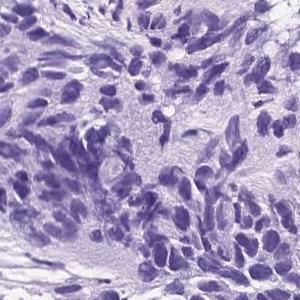
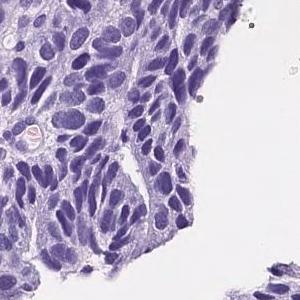
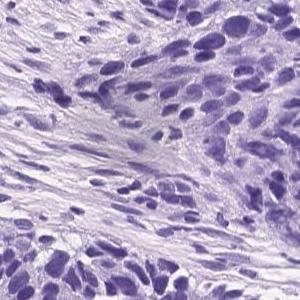
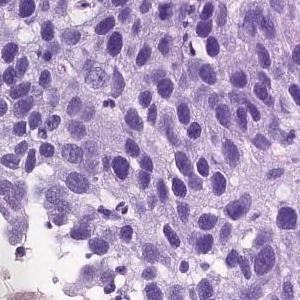
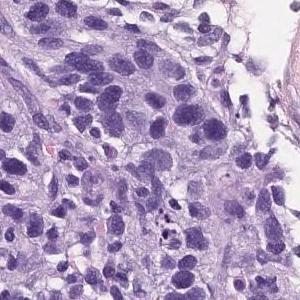
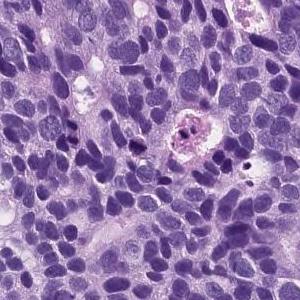
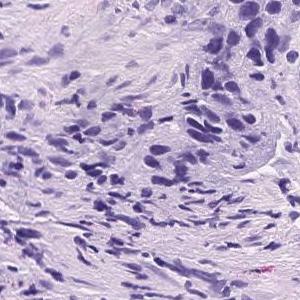
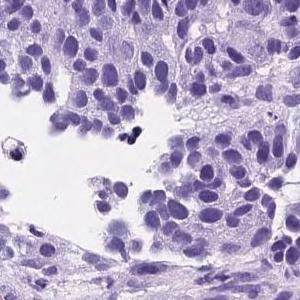
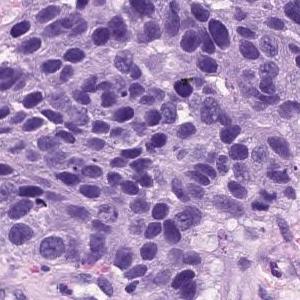
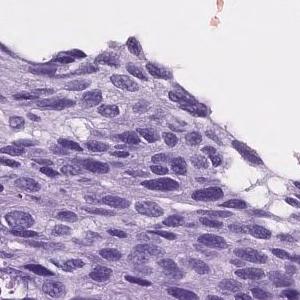
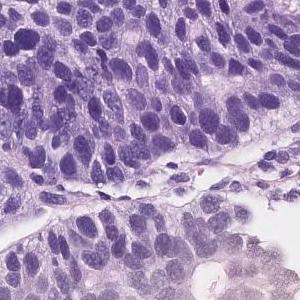
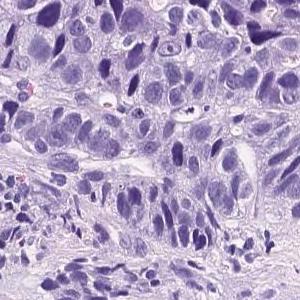
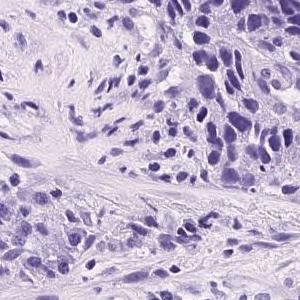
Hematoxylin and eosin stain · scanned at ×20 · 13 tiles cut from one stomach biopsy slide · 300×300 px each.
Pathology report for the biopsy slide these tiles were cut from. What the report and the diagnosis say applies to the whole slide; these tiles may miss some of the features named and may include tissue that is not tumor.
Atypical cells with atypical nuclei forming small irregular atypical ducts and growing in a conformative manner. moderately differentiated tubular adenocarcinoma
The dataset labels this slide moderately to poorly differentiated adenocarcinoma.
